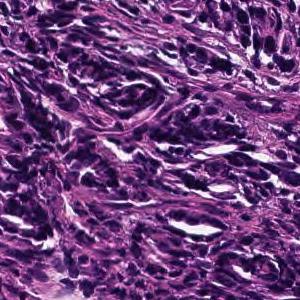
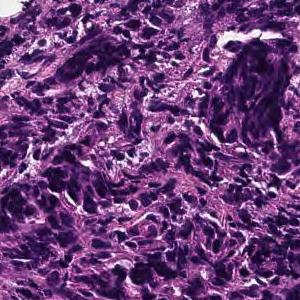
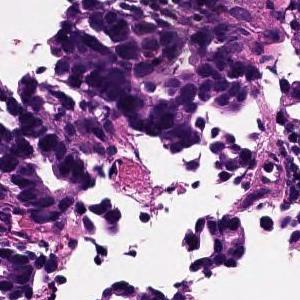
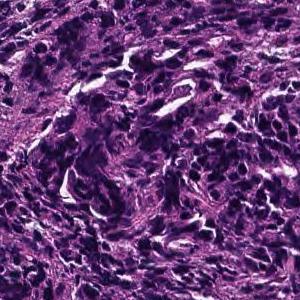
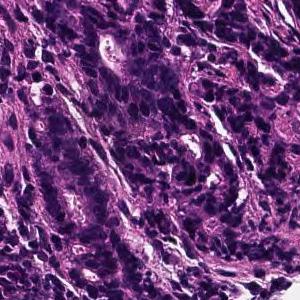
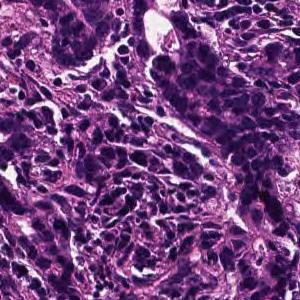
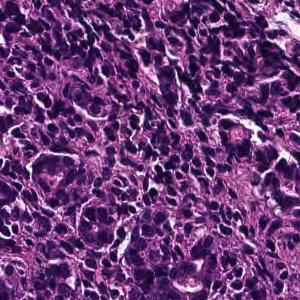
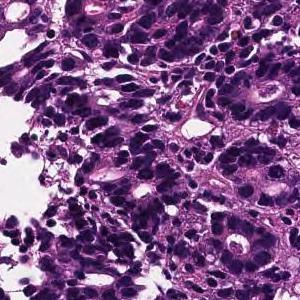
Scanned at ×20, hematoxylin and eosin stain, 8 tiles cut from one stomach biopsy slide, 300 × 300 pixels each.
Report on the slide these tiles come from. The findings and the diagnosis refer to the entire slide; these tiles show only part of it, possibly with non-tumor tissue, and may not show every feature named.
On the superficial epithelium, tumor tissue is found in which medium-sized irregular gland ducts fuse with each other and infiltrate. moderately differentiated tubular adenocarcinoma or Poorly differentiated adenocarcinoma, non-solid type
Subtype: Moderately to poorly differentiated adenocarcinoma.
"Non-solid type" is a category of the Japanese Classification of Gastric Carcinoma.
